H&E · 20× magnification · 4 tiles cut from one stomach biopsy slide · 300×300 px each.
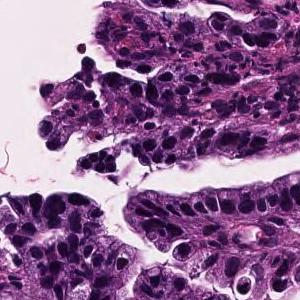
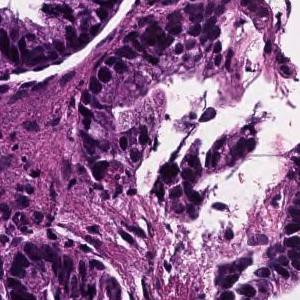
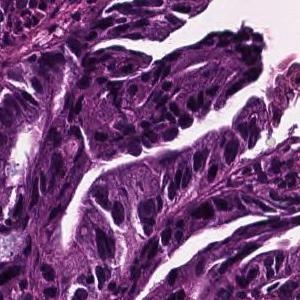
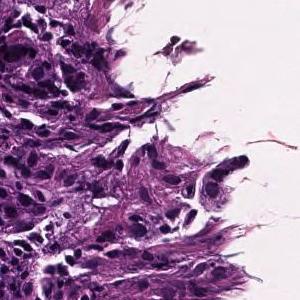
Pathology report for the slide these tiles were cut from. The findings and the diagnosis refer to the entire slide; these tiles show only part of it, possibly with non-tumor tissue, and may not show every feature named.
In the superficial epithelium, tumor tissue that invades by forming medium-sized to small, irregular ducts is observed. Well differentiated tubular adenocarcinoma.
